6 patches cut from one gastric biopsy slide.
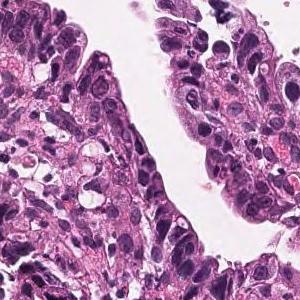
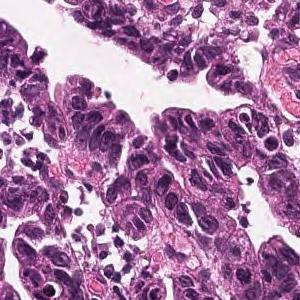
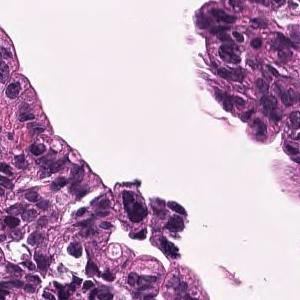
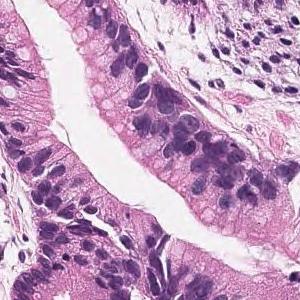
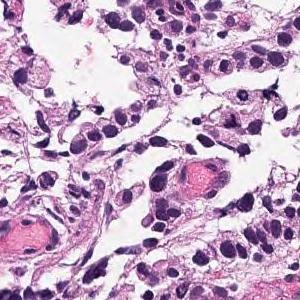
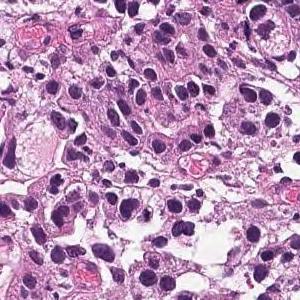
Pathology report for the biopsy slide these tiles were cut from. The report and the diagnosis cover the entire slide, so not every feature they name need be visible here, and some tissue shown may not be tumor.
Medium to small, irregular glandular ducts are formed in the superficial epithelium, and in some cases, the glandular ducts are fused to show solid alveolar lesions and infiltrating tumor tissue is observed. Moderately to poorly differentiated adenocarcinoma.
